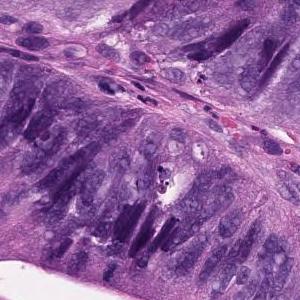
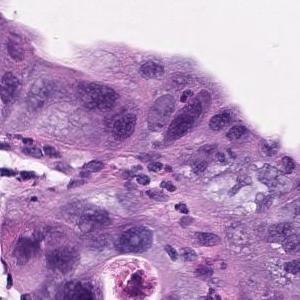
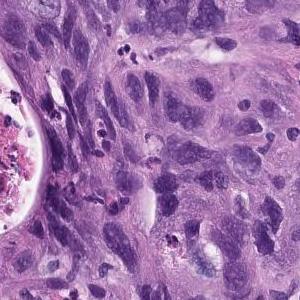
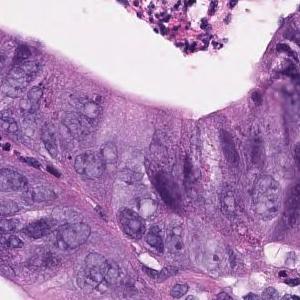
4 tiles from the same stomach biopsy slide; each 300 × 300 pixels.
The pathologist's report on the biopsy slide these tiles were taken from. The report describes the whole slide, diagnosis included: not every finding it names need appear in these tiles, which may also show non-tumor tissue.
In the superficial epithelium, tumor tissue that invades by forming medium-sized to small, irregular ducts is observed. Moderately differentiated adenocarcinoma.
Histological subtype: Moderately differentiated tubular adenocarcinoma.
